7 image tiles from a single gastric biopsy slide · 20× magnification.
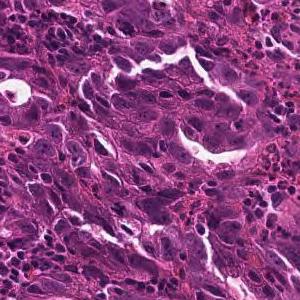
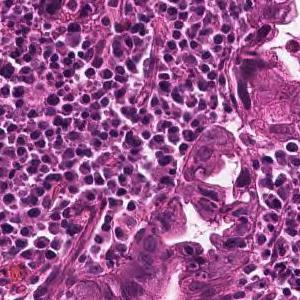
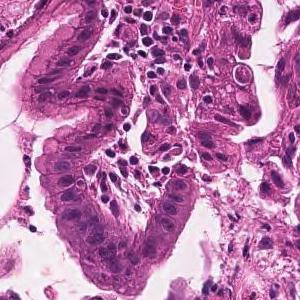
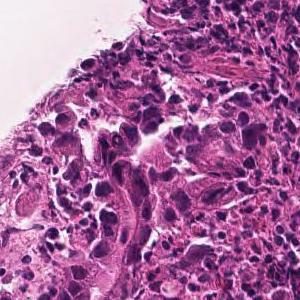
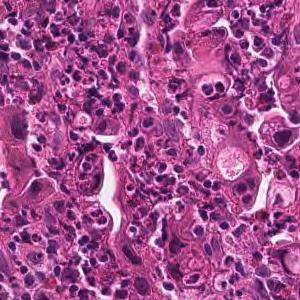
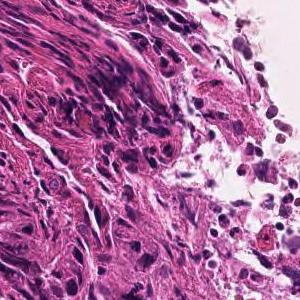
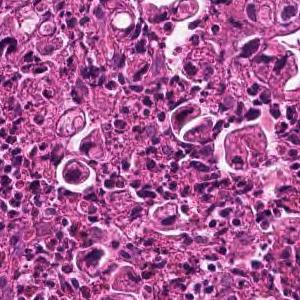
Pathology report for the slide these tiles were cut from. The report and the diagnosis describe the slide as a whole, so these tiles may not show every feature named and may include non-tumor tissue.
Medium to small, irregular glandular ducts are formed in the superficial epithelium, and in some cases, the glandular ducts are fused to show solid alveolar lesions and infiltrating tumor tissue is observed. Moderately to poorly differentiated adenocarcinoma.
